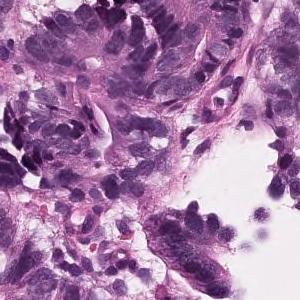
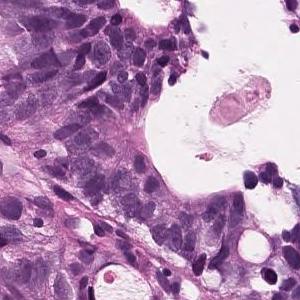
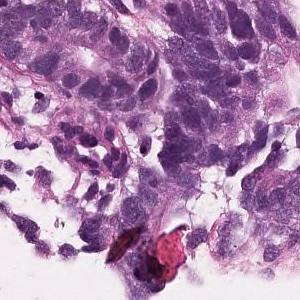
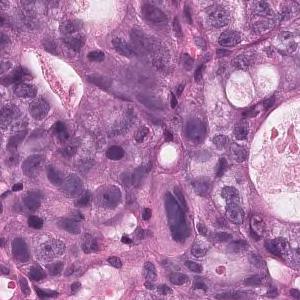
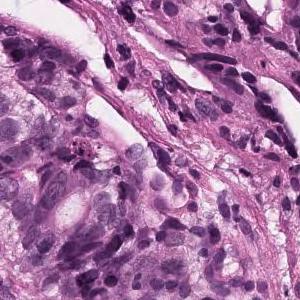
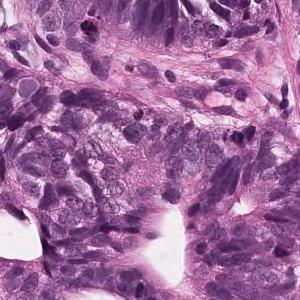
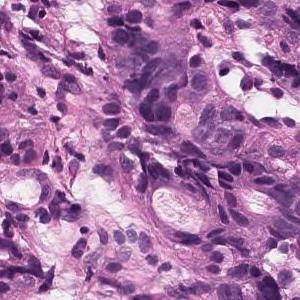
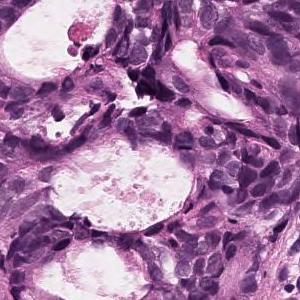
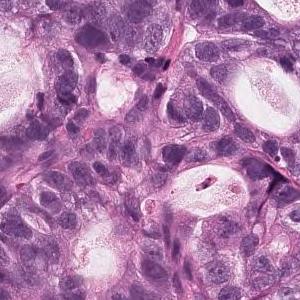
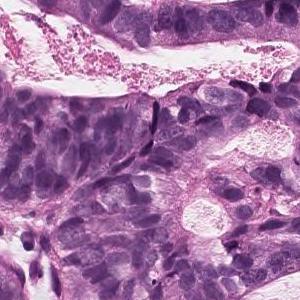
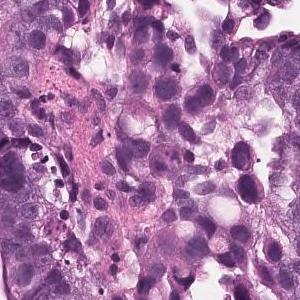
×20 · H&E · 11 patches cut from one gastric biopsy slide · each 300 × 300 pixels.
Report on the slide these tiles come from. Both the report and the diagnosis are for the whole slide: these tiles need not show every feature named, and some of the tissue shown may not be tumor.
On the superficial epithelium, tumor tissue consisting of large, irregular glandular ducts partially fused and infiltrated is observed. Well to moderately differentiated tubular adenocarcinoma (well differentiated tubular adenocarcinoma, moderately differentiated tubular adenocarcinoma)
Histologic type: Well to moderately differentiated tubular adenocarcinoma.
